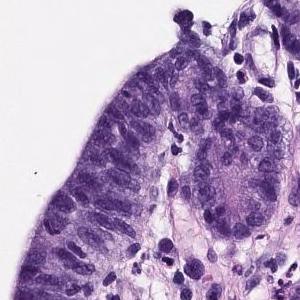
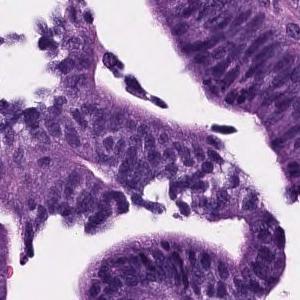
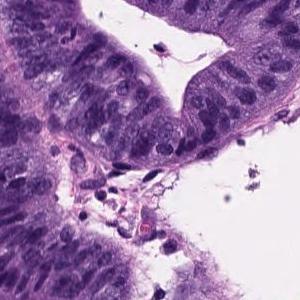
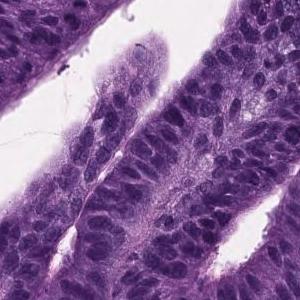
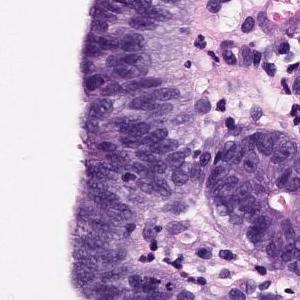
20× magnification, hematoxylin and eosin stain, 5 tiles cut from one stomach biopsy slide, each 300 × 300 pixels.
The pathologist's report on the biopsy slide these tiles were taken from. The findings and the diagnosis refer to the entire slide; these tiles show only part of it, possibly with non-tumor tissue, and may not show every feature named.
Papillo-tubular growth of atypical tubules with nuclear swelling is observed. Well differentiated tubular adenocarcinoma
